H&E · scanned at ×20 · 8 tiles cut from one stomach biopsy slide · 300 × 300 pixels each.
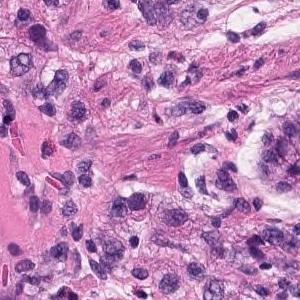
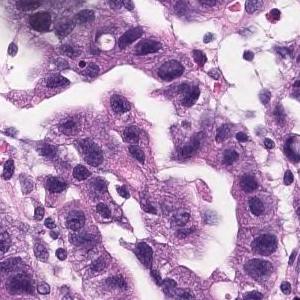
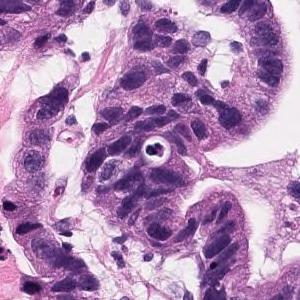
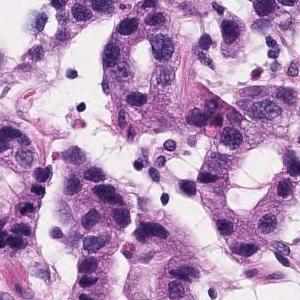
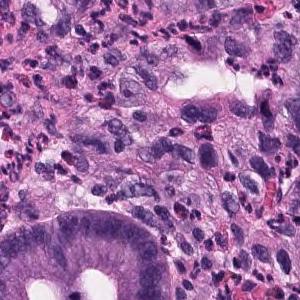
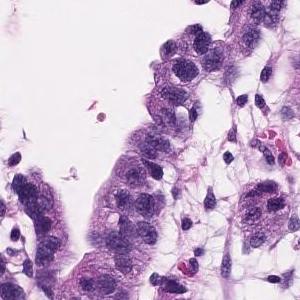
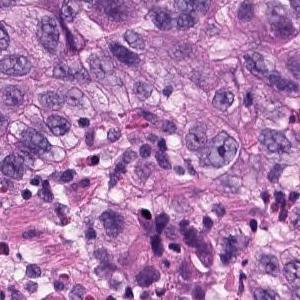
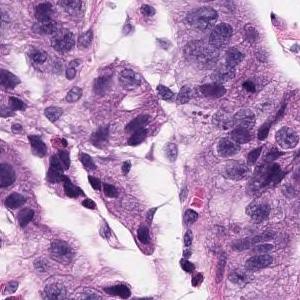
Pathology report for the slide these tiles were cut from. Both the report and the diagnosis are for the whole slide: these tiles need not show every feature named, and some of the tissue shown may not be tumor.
Atypical l cells with atypical nuclei forming diffuse or small irregular atypical ducts and growing. Moderately to poorly differentiated adenocarcinoma (poorly differentiated adenocarcinoma, solid type, moderately differentiated tubular adenocarcinoma)
Subtype: Moderately to poorly differentiated adenocarcinoma.
"Solid type" is a category of the Japanese Classification of Gastric Carcinoma; in the WHO 2019 classification it is tubular adenocarcinoma, poorly differentiated.
